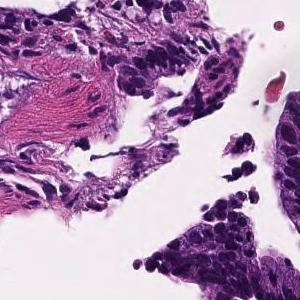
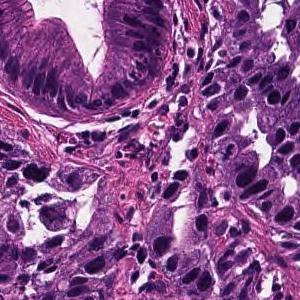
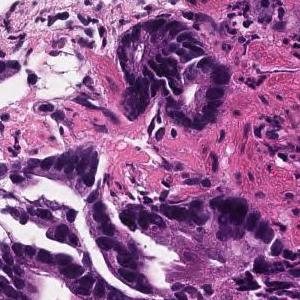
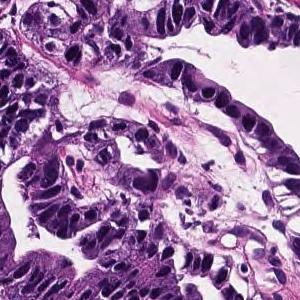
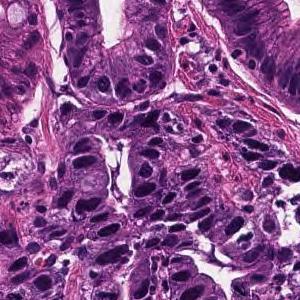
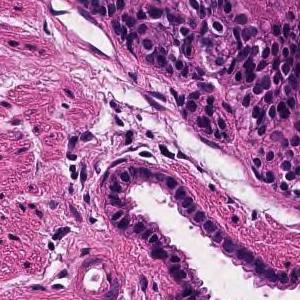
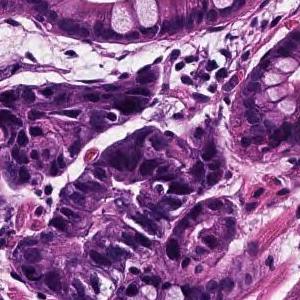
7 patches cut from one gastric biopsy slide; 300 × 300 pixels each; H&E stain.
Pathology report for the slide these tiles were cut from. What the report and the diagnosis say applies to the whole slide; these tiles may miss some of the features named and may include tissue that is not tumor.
Tumor cells are large, highly columnar, large club-shaped nuclei, and are associated with chromatin aggregation. Papillary adenocarcinoma.
